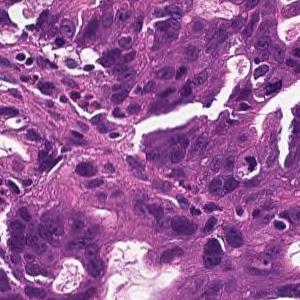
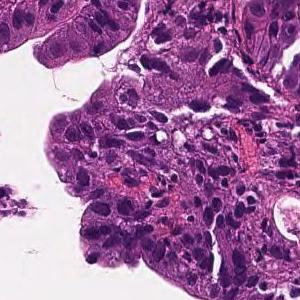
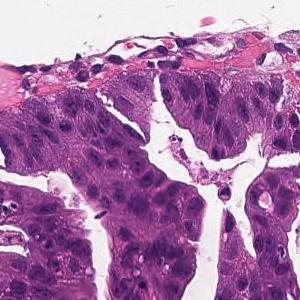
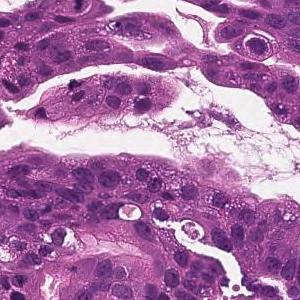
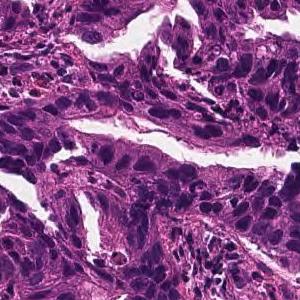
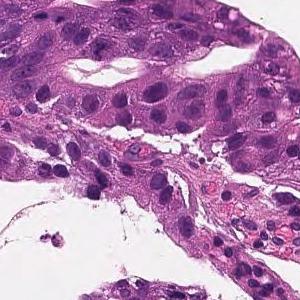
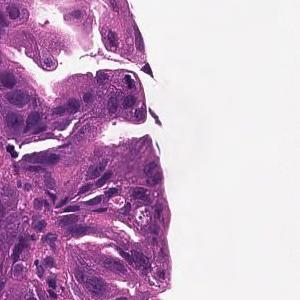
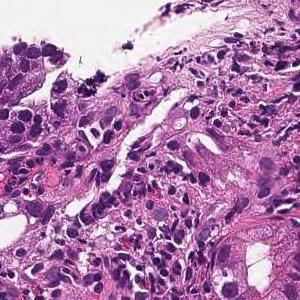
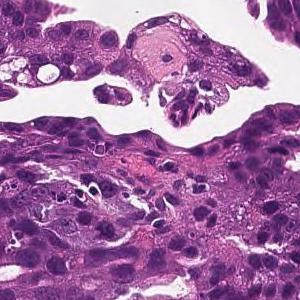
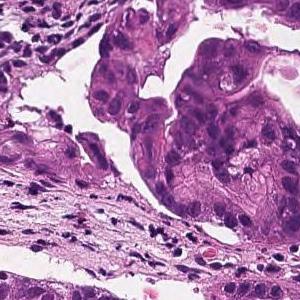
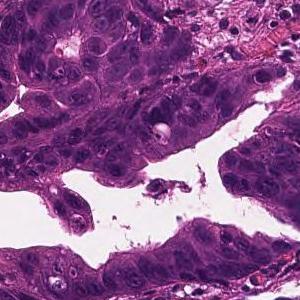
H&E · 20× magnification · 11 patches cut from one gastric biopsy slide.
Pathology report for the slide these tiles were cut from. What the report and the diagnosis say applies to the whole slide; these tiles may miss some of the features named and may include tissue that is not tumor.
On the superficial epithelium, tumor tissue is found in which medium-sized irregular gland ducts fuse with each other and infiltrate. moderately differentiated tubular adenocarcinoma
